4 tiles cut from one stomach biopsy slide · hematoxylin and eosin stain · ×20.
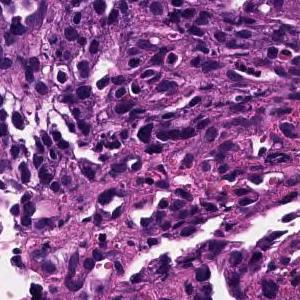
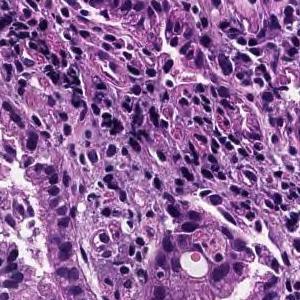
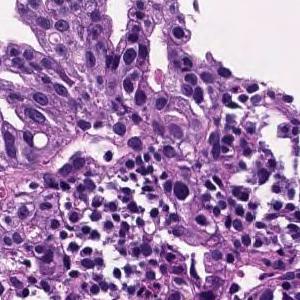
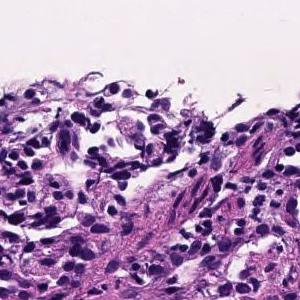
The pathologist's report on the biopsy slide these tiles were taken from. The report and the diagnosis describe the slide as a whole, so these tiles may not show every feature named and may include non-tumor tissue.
Medium to small, irregular glandular ducts are formed in the superficial epithelium, and in some cases, the glandular ducts are fused to show solid alveolar lesions and infiltrating tumor tissue is observed. Moderately to poorly differentiated adenocarcinoma.
